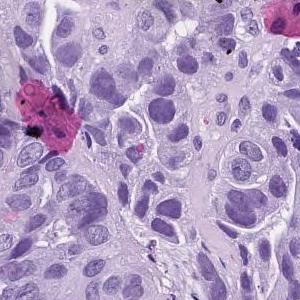
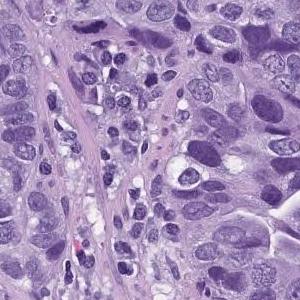
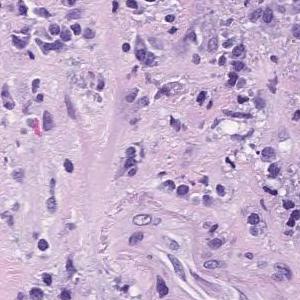
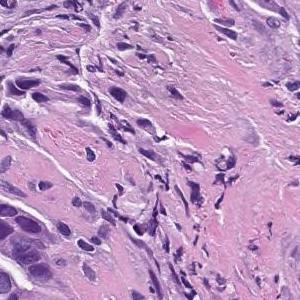
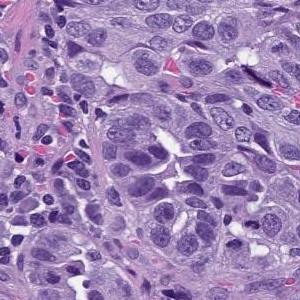
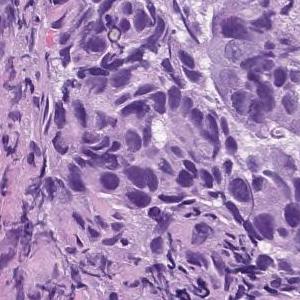
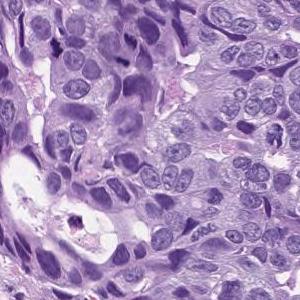
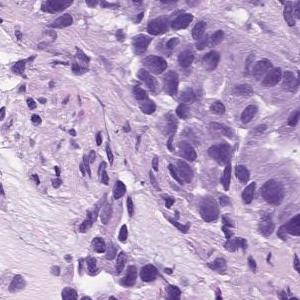
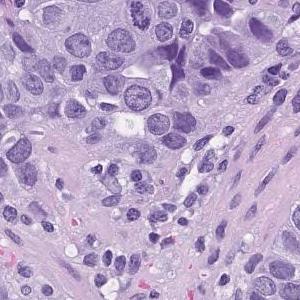
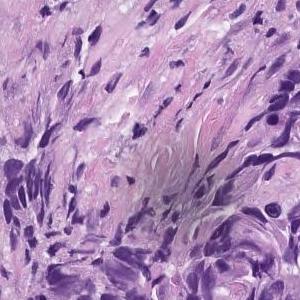
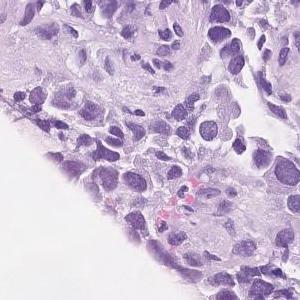
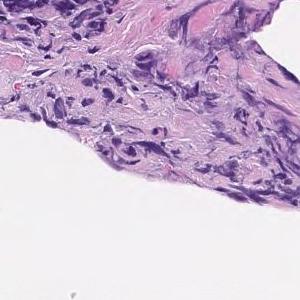
12 tiles cut from one stomach biopsy slide · each 300 × 300 pixels · scanned at ×20 · hematoxylin and eosin stain.
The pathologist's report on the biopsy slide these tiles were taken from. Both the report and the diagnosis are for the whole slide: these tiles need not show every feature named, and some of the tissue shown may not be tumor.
In the superficial epithelium, tumor tissue that invades by forming medium-sized to small, irregular ducts is observed. moderately differentiated tubular adenocarcinoma.
